×20 · H&E · 15 tiles from the same stomach biopsy slide · each 300 × 300 pixels.
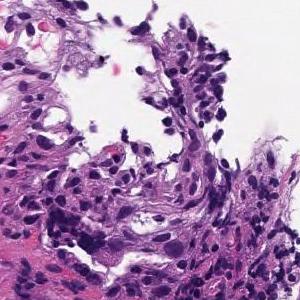
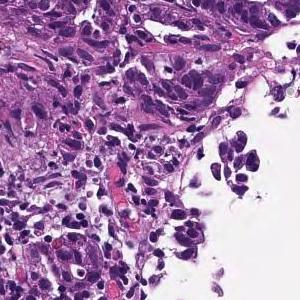
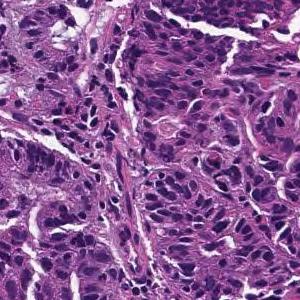
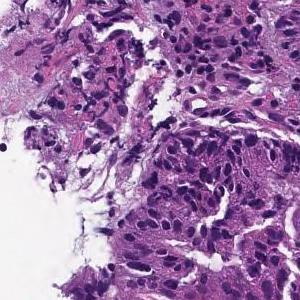
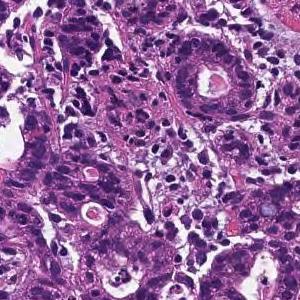
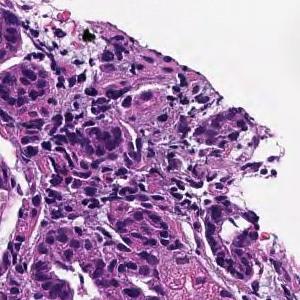
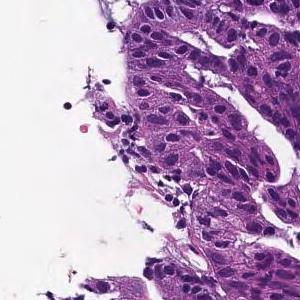
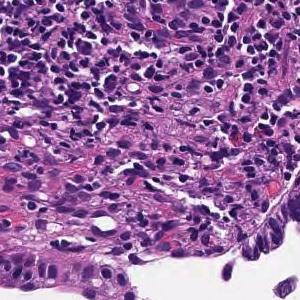
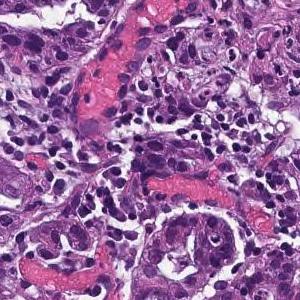
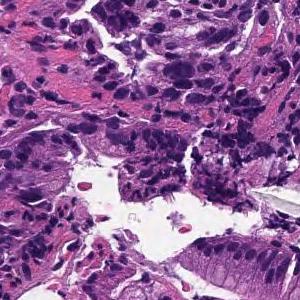
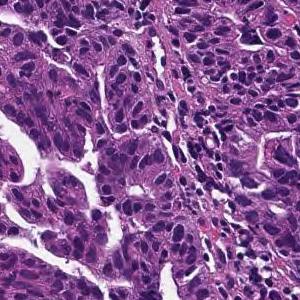
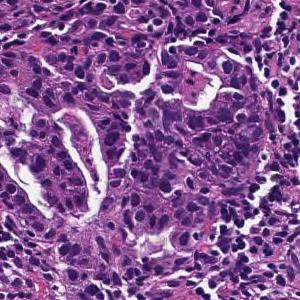
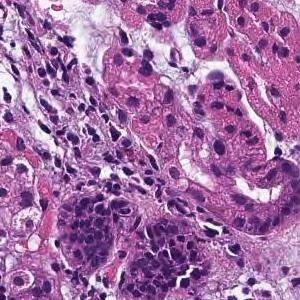
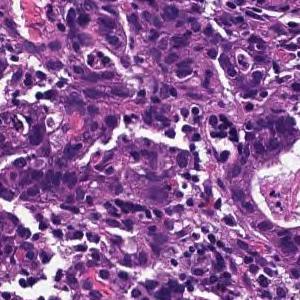
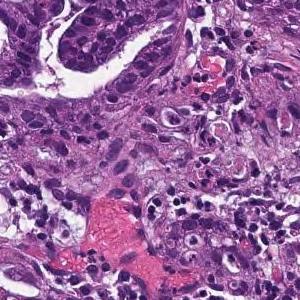
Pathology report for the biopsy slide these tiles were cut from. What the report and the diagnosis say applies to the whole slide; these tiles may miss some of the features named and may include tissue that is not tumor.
On the superficial epithelium, tumor tissue consisting of large irregular glandular ducts partially fused and infiltrated is observed. Well to moderately differentiated tubular adenocarcinoma (well differentiated tubular adenocarcinoma, moderately differentiated tubular adenocarcinoma)
Tumor subtype: well to moderately differentiated tubular adenocarcinoma.
